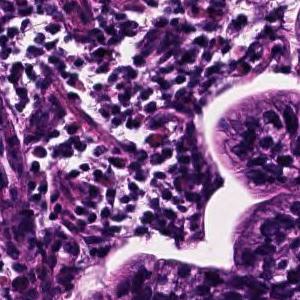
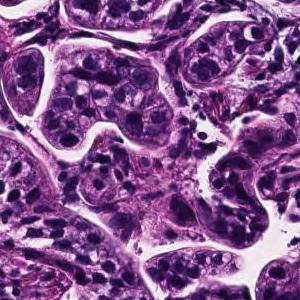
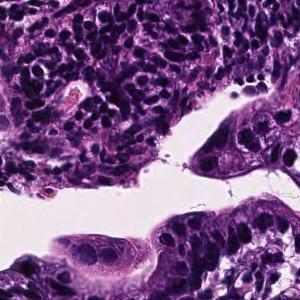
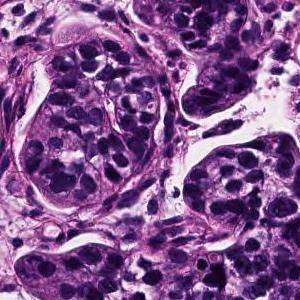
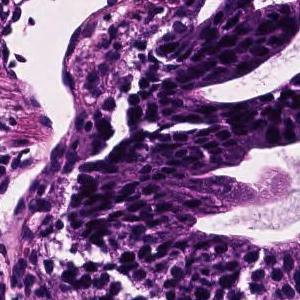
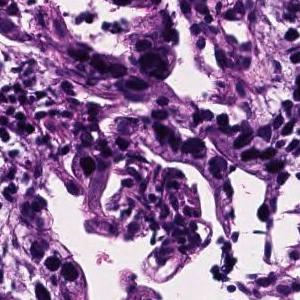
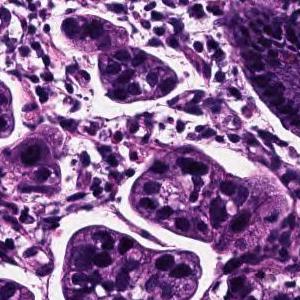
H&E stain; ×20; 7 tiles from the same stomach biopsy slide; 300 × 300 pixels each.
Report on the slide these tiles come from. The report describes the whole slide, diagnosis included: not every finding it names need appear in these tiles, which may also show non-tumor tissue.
Tumor tissue consisting of cord-like or small, irregular glandular ducts fused and infiltrated is observed in the superficial epithelium. Poorly differentiated adenocarcinoma, non-solid type
"Non-solid type" is a category of the Japanese Classification of Gastric Carcinoma.
